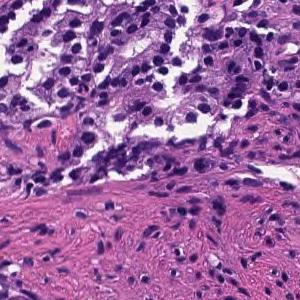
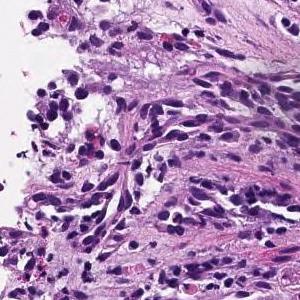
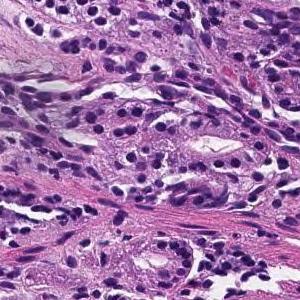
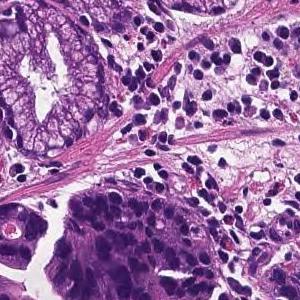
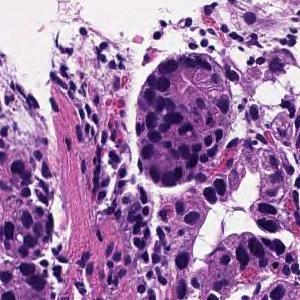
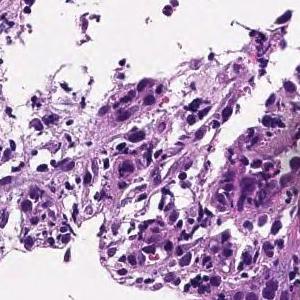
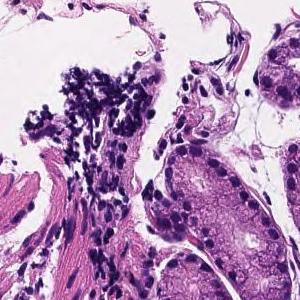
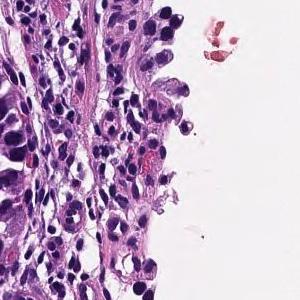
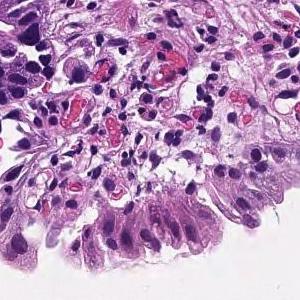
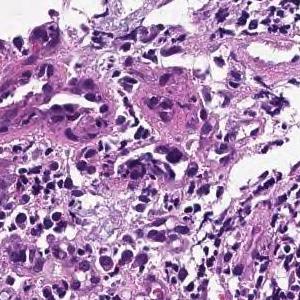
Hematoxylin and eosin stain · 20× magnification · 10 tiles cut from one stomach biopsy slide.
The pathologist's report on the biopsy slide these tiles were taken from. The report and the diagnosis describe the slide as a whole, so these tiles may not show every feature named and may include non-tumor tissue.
From the superficial epithelium to the muscularis mucosae, tumor tissue consisting of medium-sized and irregular glandular ducts infiltrating is observed. Well differentiated tubular adenocarcinoma
